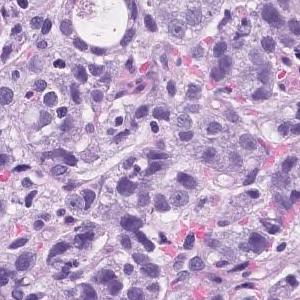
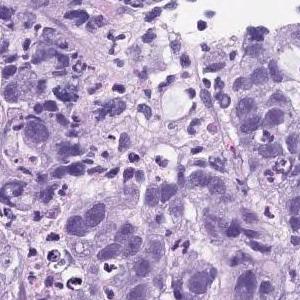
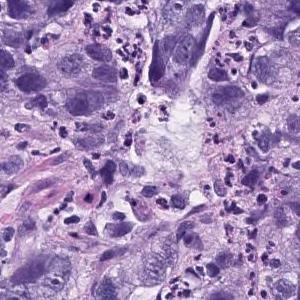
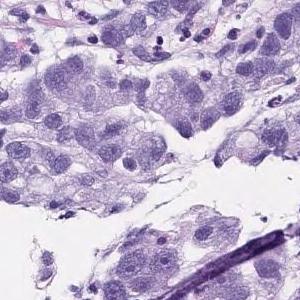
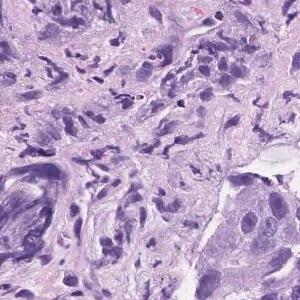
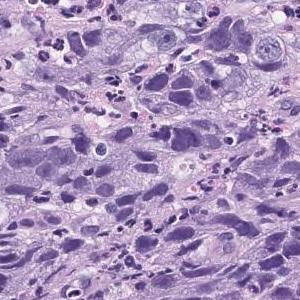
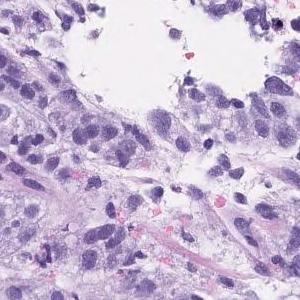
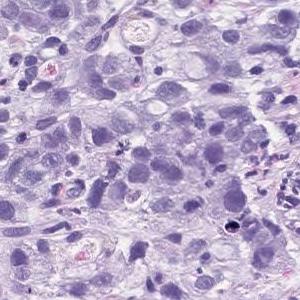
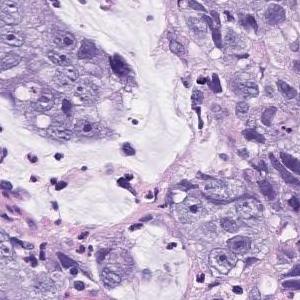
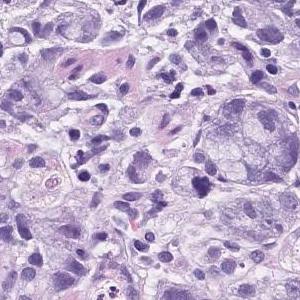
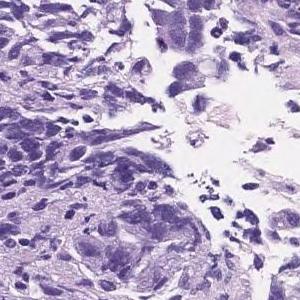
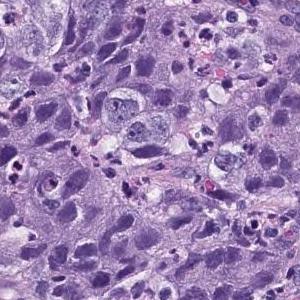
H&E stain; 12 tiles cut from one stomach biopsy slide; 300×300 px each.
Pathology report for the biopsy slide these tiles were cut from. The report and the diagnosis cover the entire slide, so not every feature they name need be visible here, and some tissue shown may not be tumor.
Atypical l cells with atypical nuclei forming solid vesicles or small irregular atypical ducts that proliferate in a complex manner. poorly differentiated adenocarcinoma, solid type, moderately differentiated tubular adenocarcinoma
"Solid type" is a category of the Japanese Classification of Gastric Carcinoma; in the WHO 2019 classification it is tubular adenocarcinoma, poorly differentiated.
